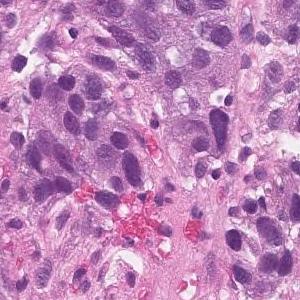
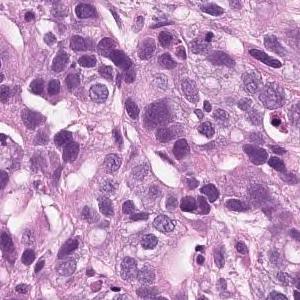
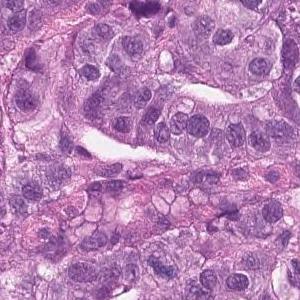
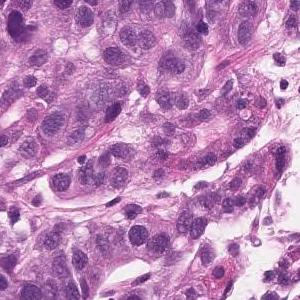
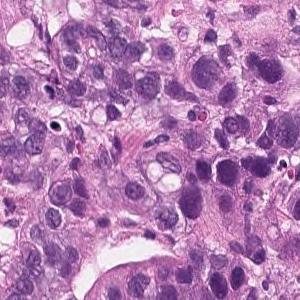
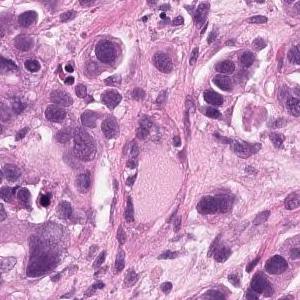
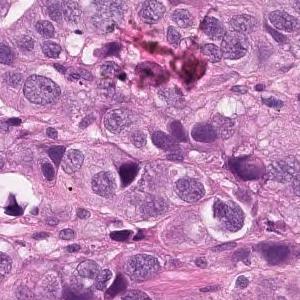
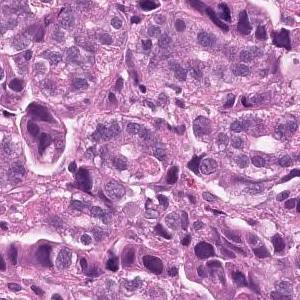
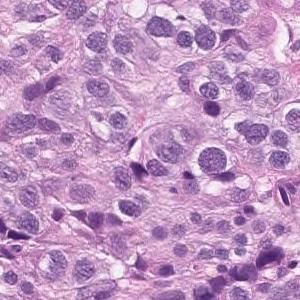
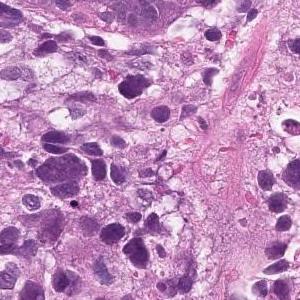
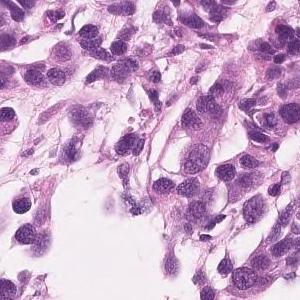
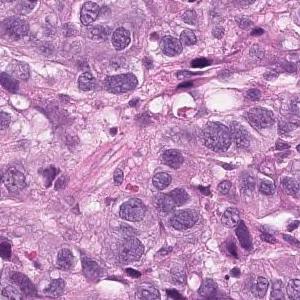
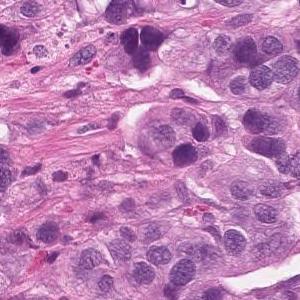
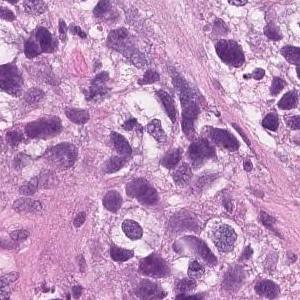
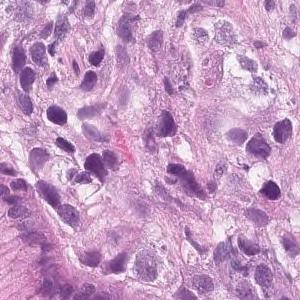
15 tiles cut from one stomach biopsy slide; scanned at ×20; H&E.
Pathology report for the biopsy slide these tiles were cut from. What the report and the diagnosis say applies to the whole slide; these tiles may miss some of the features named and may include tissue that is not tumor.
Tumor tissue that infiltrates the epithelium in an alveolar manner. Poorly differentiated adenocarcinoma, solid-type
Histological subtype: Poorly differentiated adenocarcinoma, solid type, a category of the Japanese Classification of Gastric Carcinoma; in the WHO 2019 classification it is tubular adenocarcinoma, poorly differentiated.
